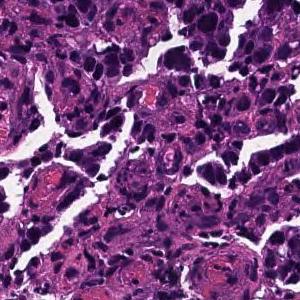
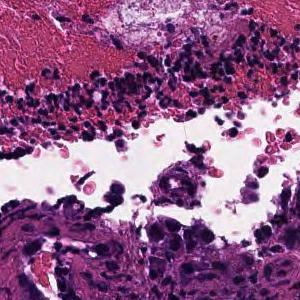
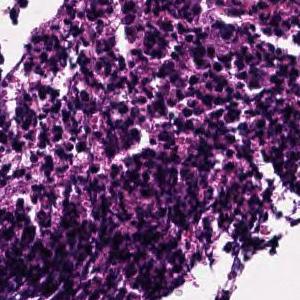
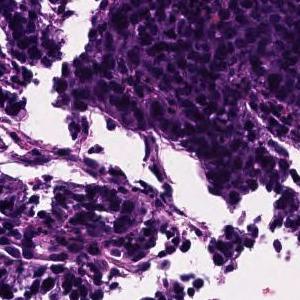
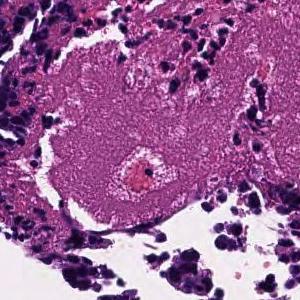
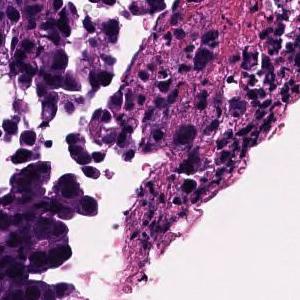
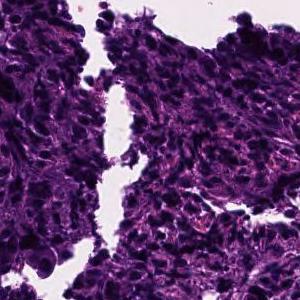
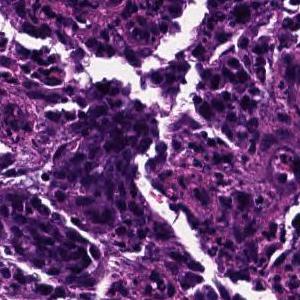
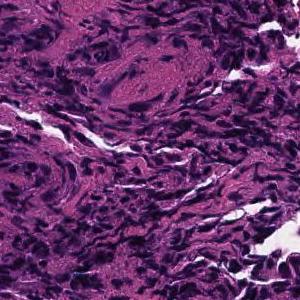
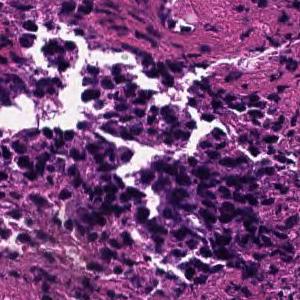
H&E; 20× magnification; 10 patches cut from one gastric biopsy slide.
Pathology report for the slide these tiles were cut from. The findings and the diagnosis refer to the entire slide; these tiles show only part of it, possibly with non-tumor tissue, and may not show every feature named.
In the superficial epithelium, tumor tissue that invades by forming medium-sized to small, irregular ducts is observed. moderately differentiated tubular adenocarcinoma.
